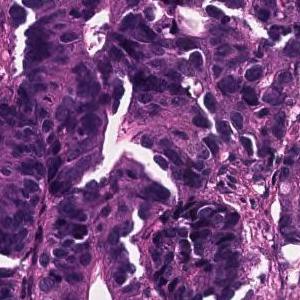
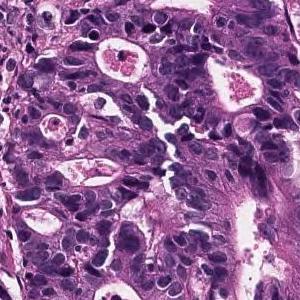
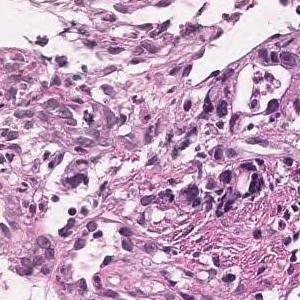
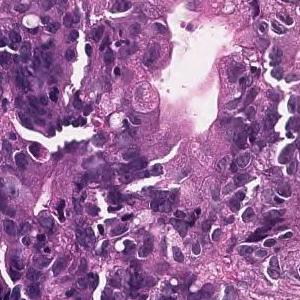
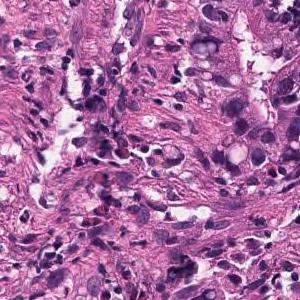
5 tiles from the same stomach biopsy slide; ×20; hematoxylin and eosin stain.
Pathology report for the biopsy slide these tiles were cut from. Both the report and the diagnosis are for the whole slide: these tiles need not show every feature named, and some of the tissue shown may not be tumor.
In the superficial epithelium, tumor tissue is found in which medium-sized irregular gland ducts fuse with each other and infiltrate. moderately differentiated tubular adenocarcinoma
